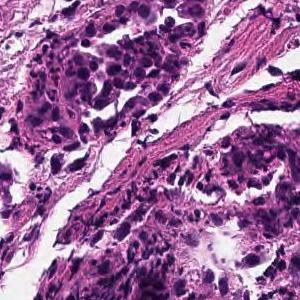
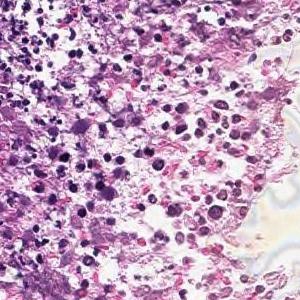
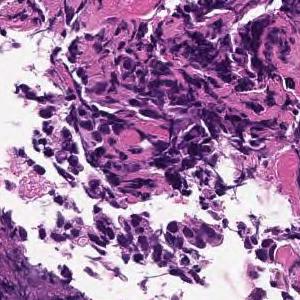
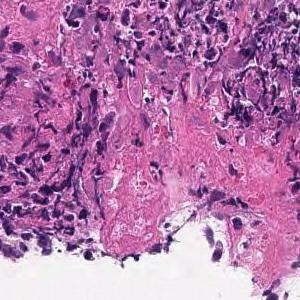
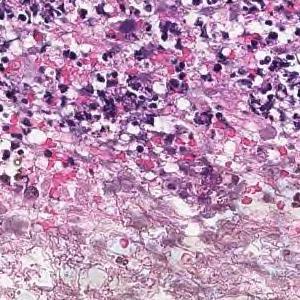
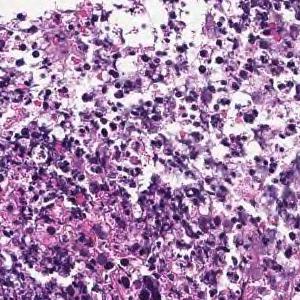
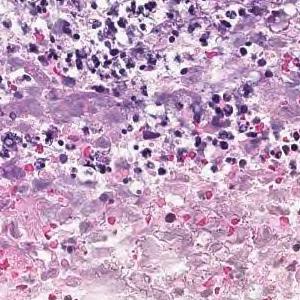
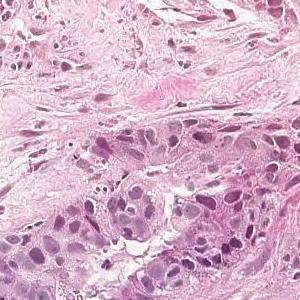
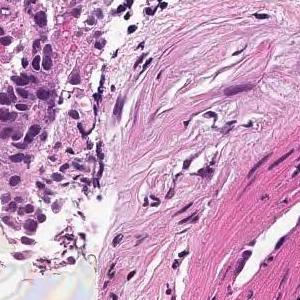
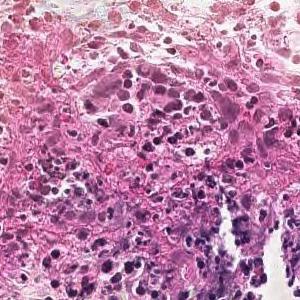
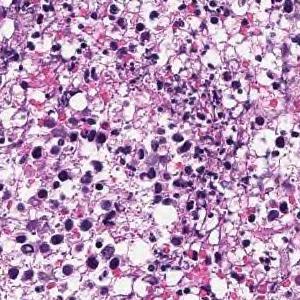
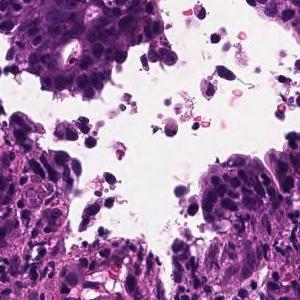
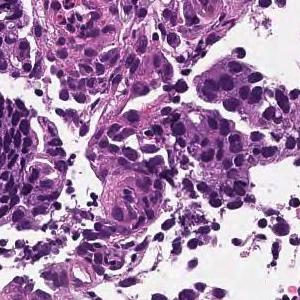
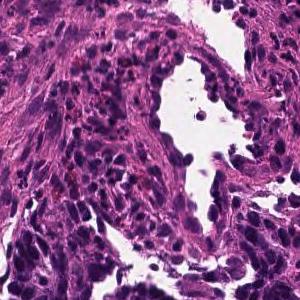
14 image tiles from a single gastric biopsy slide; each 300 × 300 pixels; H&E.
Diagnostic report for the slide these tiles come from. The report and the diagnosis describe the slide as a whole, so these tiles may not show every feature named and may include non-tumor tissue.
In the superficial epithelium, tumor tissue that invades by forming medium-sized to small, irregular ducts is observed. moderately differentiated tubular adenocarcinoma.
